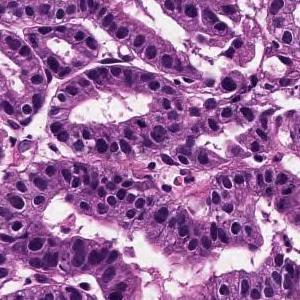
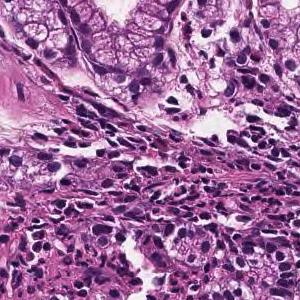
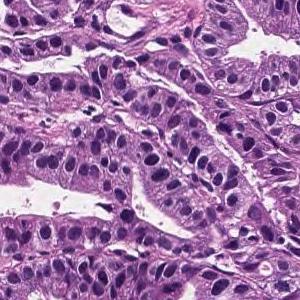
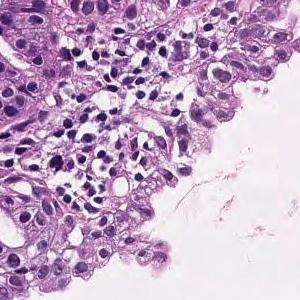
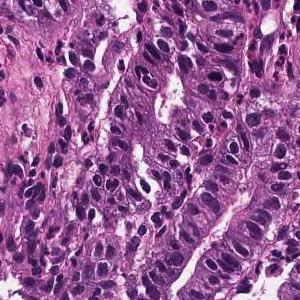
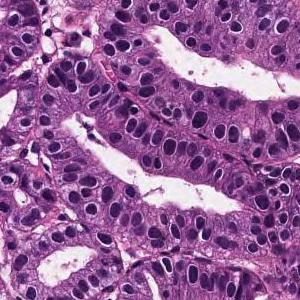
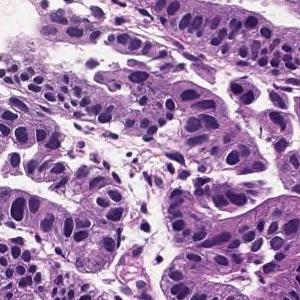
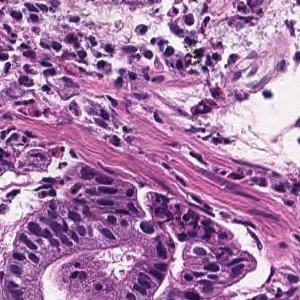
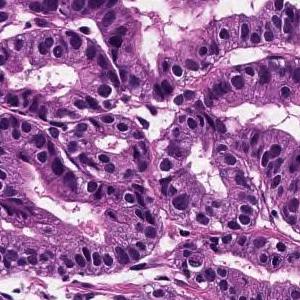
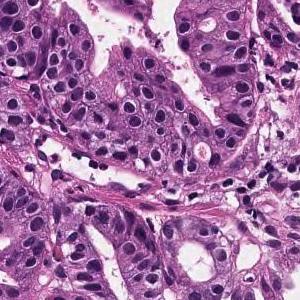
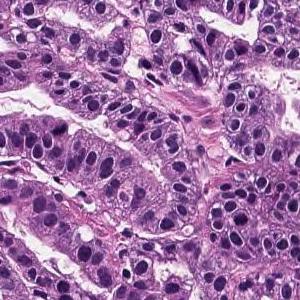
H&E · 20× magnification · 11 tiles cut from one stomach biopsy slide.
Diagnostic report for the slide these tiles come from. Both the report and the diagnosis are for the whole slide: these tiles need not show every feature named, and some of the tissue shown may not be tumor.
On the superficial epithelium, tumor tissue that infiltrates by forming medium-sized round or small irregular ducts is observed. Papillary adenocarcinoma
